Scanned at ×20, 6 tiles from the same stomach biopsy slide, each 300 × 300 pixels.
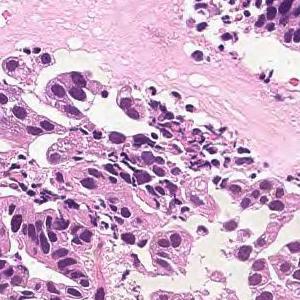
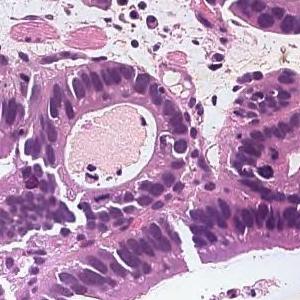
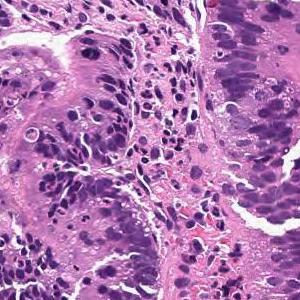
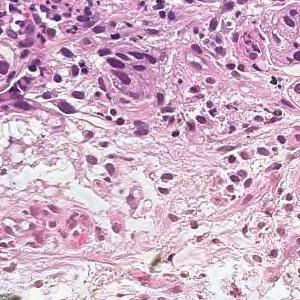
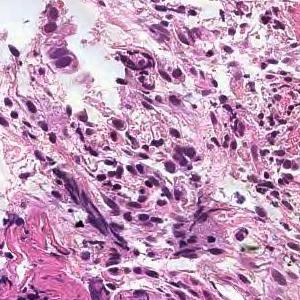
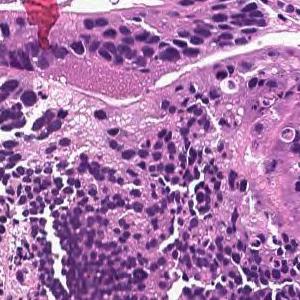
Pathology report for the slide these tiles were cut from. The report and the diagnosis describe the slide as a whole, so these tiles may not show every feature named and may include non-tumor tissue.
On the superficial epithelium, tumor tissue consisting of large irregular glandular ducts partially fused and infiltrated is observed. Well to moderately differentiated tubular adenocarcinoma (well differentiated tubular adenocarcinoma, moderately differentiated tubular adenocarcinoma)
Tumor subtype: well to moderately differentiated tubular adenocarcinoma.
